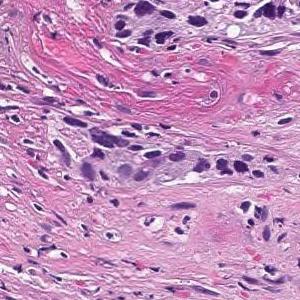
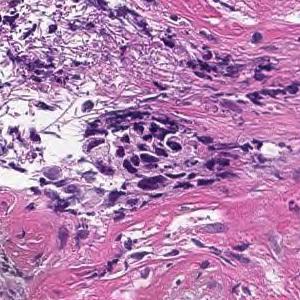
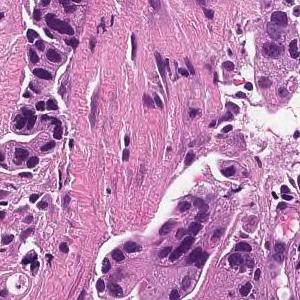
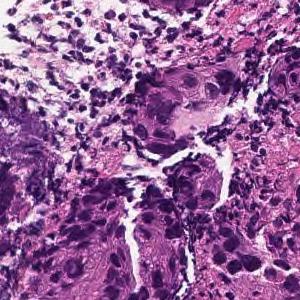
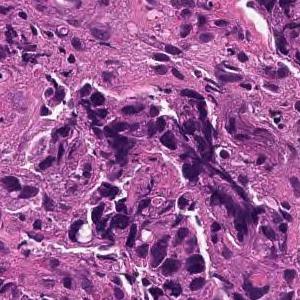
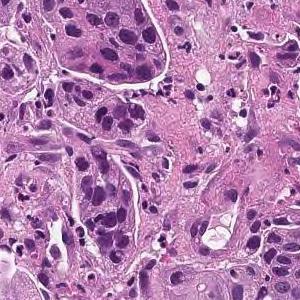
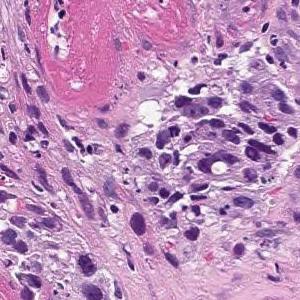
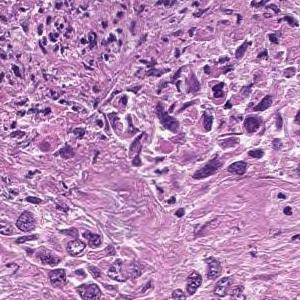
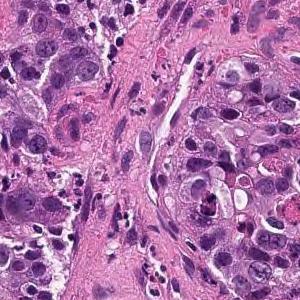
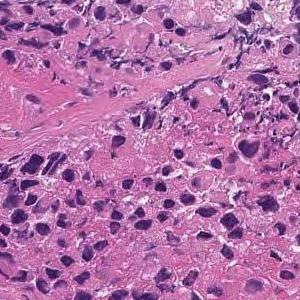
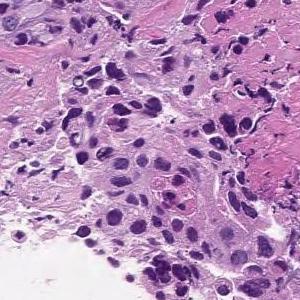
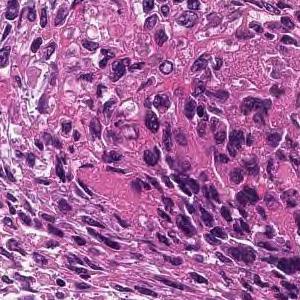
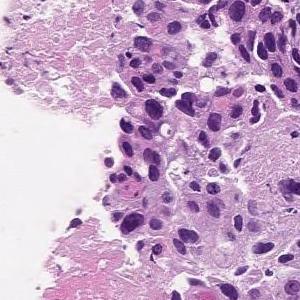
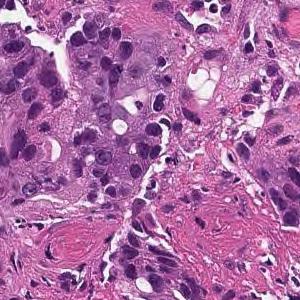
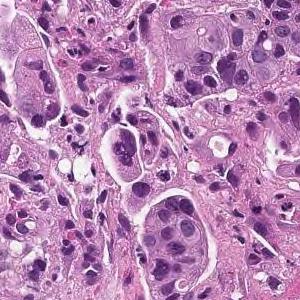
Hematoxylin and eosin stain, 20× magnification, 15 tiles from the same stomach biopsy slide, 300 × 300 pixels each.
Pathology report for the biopsy slide these tiles were cut from. The report and the diagnosis cover the entire slide, so not every feature they name need be visible here, and some tissue shown may not be tumor.
Tumor tissue consisting of cord-like or small, irregular glandular ducts fused and infiltrated is observed in the superficial epithelium. Poorly differentiated adenocarcinoma, non-solid type
"Non-solid type" is a category of the Japanese Classification of Gastric Carcinoma.
